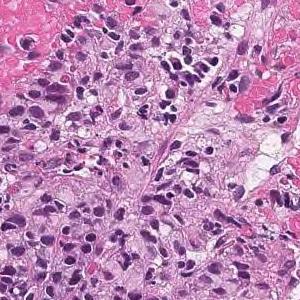
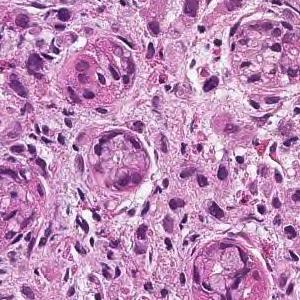
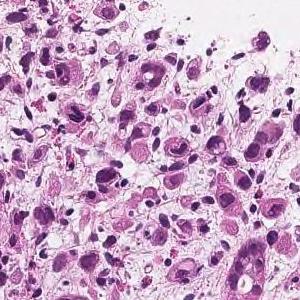
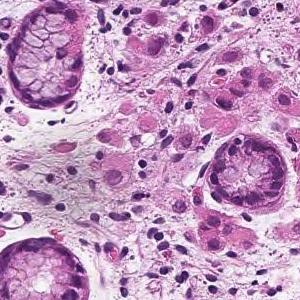
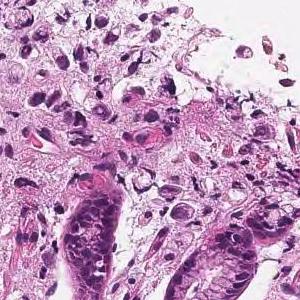
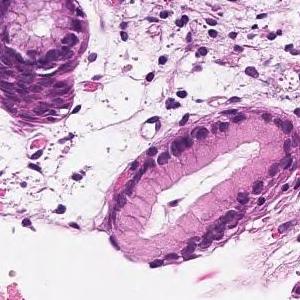
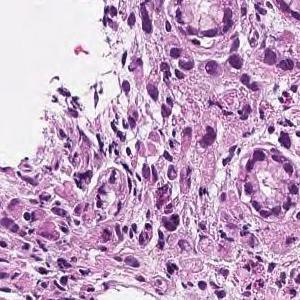
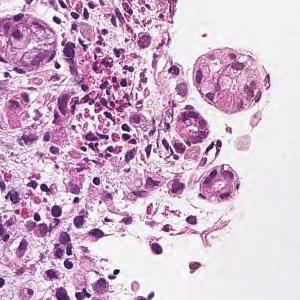
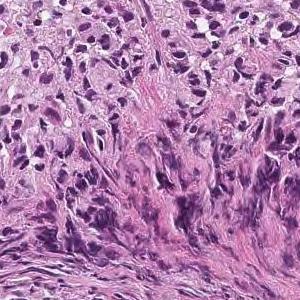
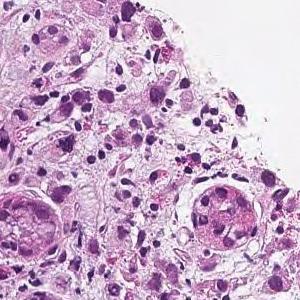
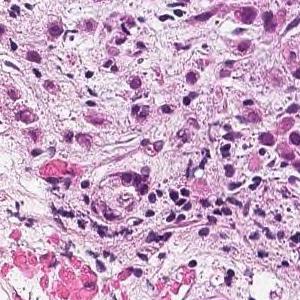
11 tiles cut from one stomach biopsy slide, H&E.
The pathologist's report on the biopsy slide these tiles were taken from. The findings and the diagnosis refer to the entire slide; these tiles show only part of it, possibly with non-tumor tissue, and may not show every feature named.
Tumor tissue consisting of cord-like or small, irregular glandular ducts fused and infiltrated is observed in the superficial epithelium. Poorly differentiated adenocarcinoma, non-solid type
The non-solid type named here is a Japanese Classification of Gastric Carcinoma category.
